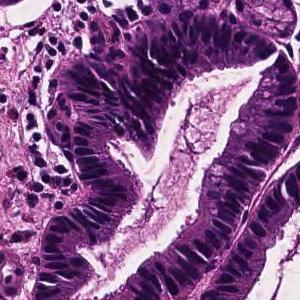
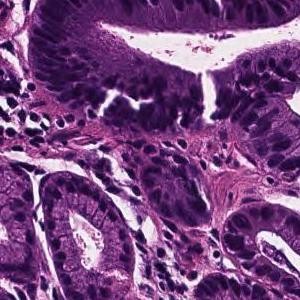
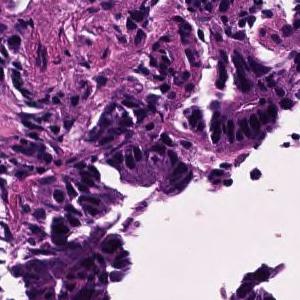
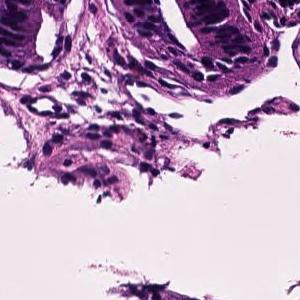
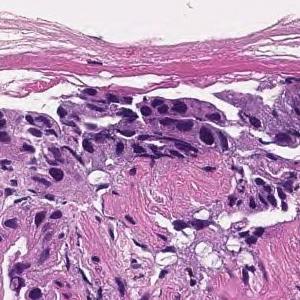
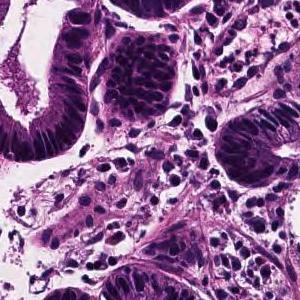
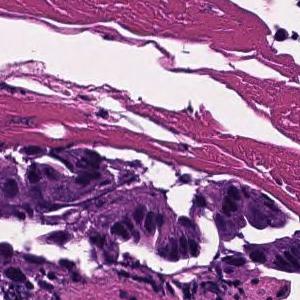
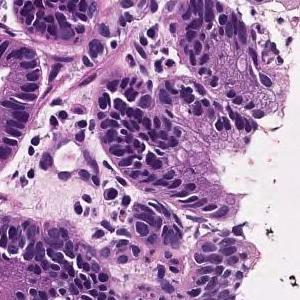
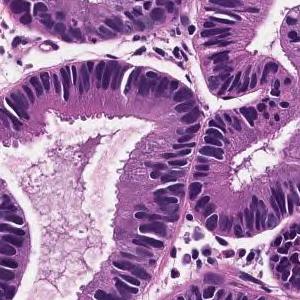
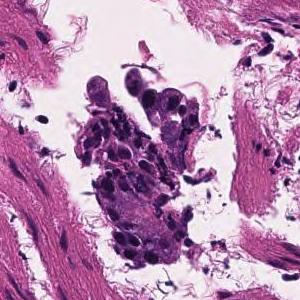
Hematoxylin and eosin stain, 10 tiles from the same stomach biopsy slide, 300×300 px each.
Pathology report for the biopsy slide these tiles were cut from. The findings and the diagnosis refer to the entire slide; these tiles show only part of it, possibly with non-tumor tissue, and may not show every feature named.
Tumor cells are large, highly columnar, large club-shaped nuclei, and are associated with chromatin aggregation. Papillary adenocarcinoma.
